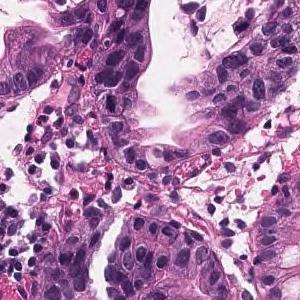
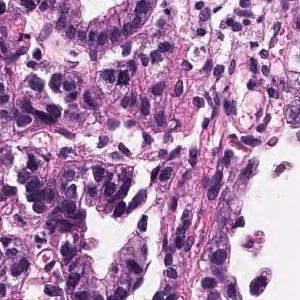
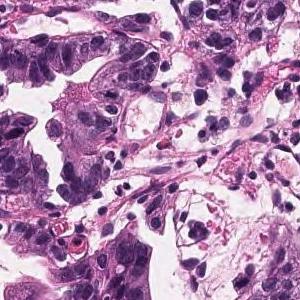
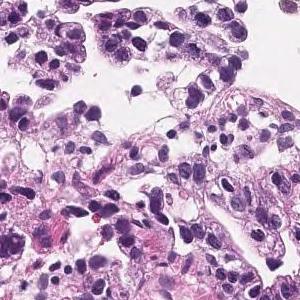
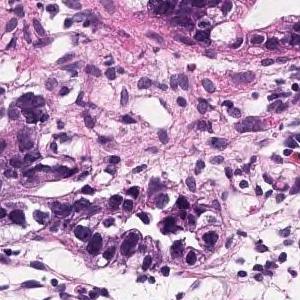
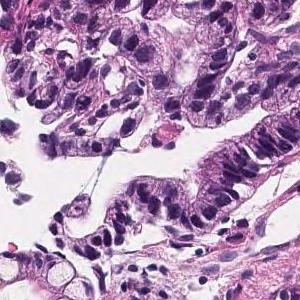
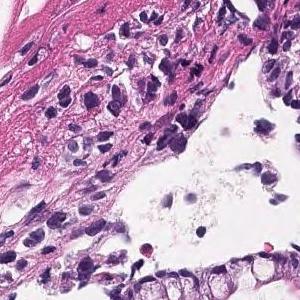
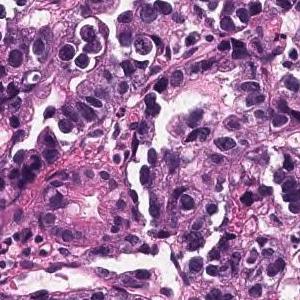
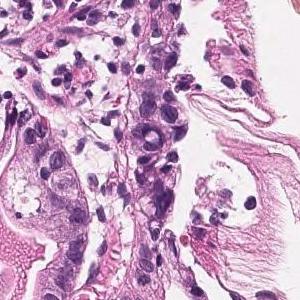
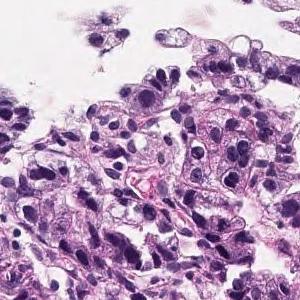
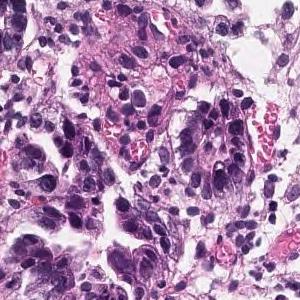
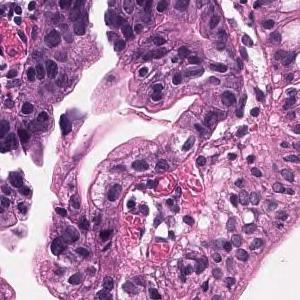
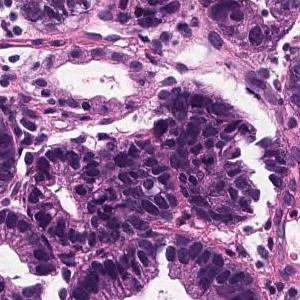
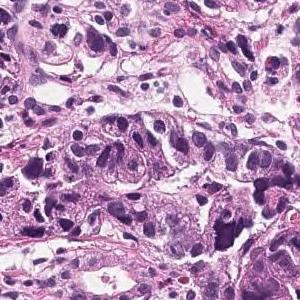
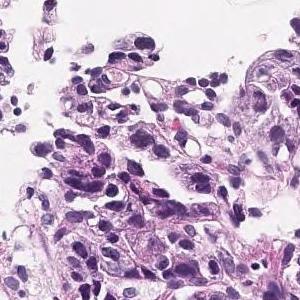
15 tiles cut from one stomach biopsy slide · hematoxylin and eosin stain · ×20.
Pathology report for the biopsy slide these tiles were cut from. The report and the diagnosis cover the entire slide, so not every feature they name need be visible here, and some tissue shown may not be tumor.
Atypical epithelium showing nuclear enlargement builds irregular ducts and grows densely. moderately differentiated tubular adenocarcinoma
